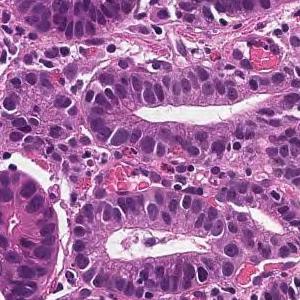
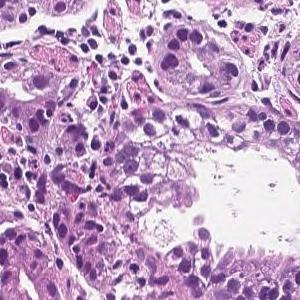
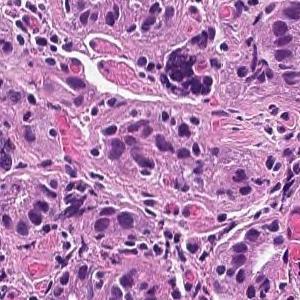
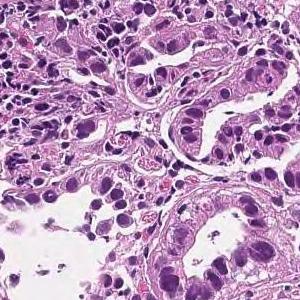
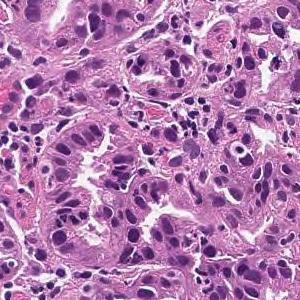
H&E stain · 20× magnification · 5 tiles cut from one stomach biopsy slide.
Diagnostic report for the slide these tiles come from. The report and the diagnosis describe the slide as a whole, so these tiles may not show every feature named and may include non-tumor tissue.
On the superficial epithelium, tumor tissue consisting of large irregular glandular ducts partially fused and infiltrated is observed. Well to moderately differentiated tubular adenocarcinoma (well differentiated tubular adenocarcinoma, moderately differentiated tubular adenocarcinoma)
Classified as well to moderately differentiated tubular adenocarcinoma.
